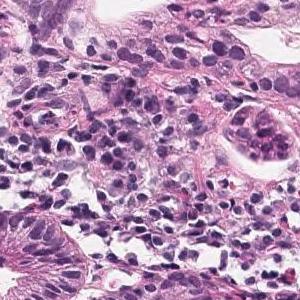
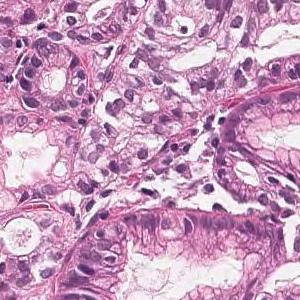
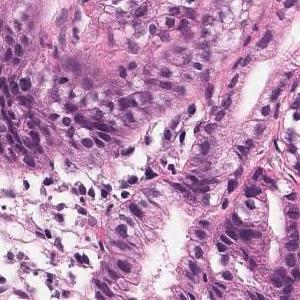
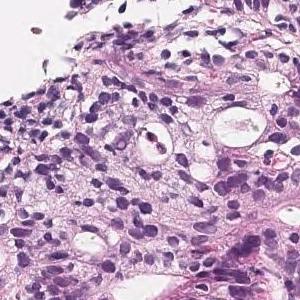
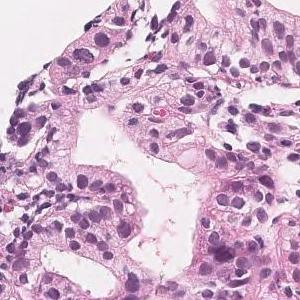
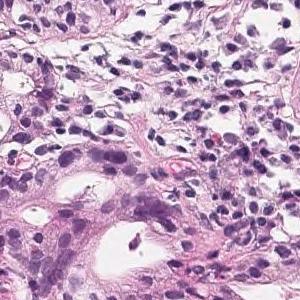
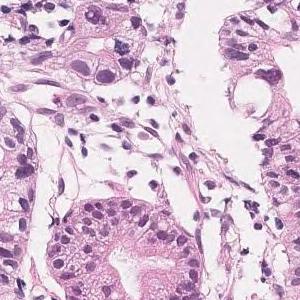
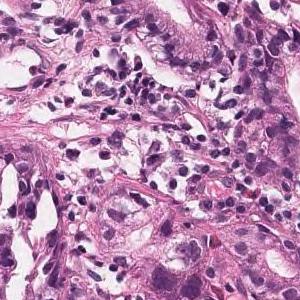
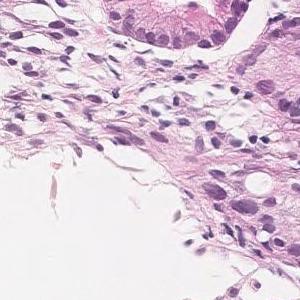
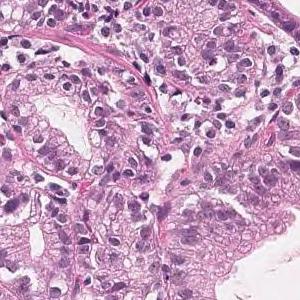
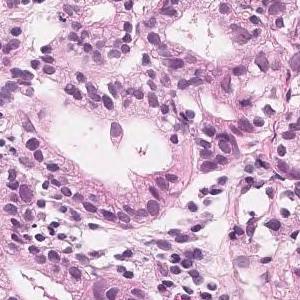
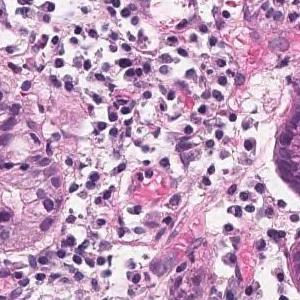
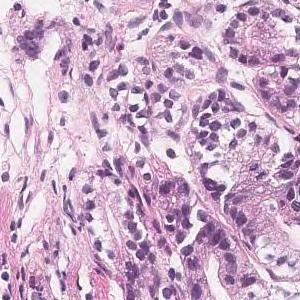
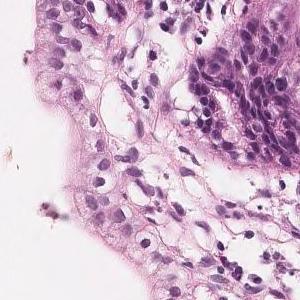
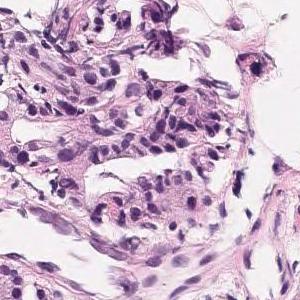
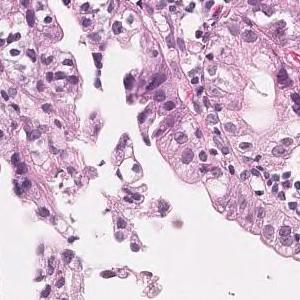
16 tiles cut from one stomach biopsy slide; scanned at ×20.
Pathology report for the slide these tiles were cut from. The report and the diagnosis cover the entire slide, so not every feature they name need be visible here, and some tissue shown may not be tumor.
Proliferation of atypical glandular ducts that fuse and show a sieving structure is observed. moderately differentiated tubular adenocarcinoma
